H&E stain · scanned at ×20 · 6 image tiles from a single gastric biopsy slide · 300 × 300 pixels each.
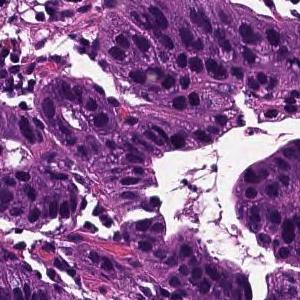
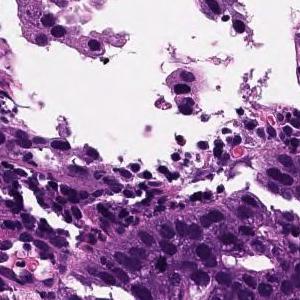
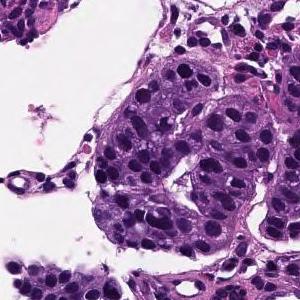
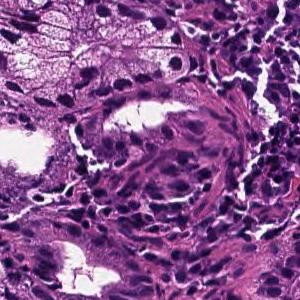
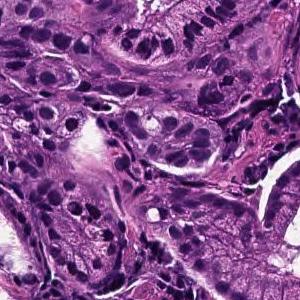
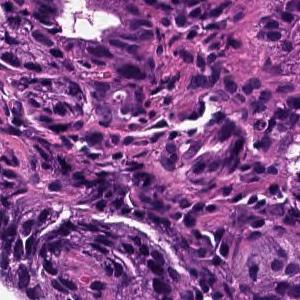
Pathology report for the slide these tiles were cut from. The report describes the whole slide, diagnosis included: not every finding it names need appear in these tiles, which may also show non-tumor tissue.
In the superficial epithelium, tumor tissue that invades by forming medium-sized to small, irregular ducts is observed. moderately differentiated tubular adenocarcinoma.
